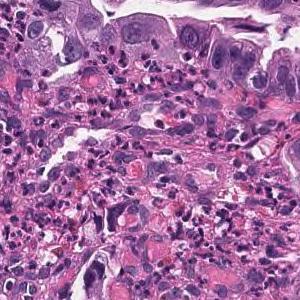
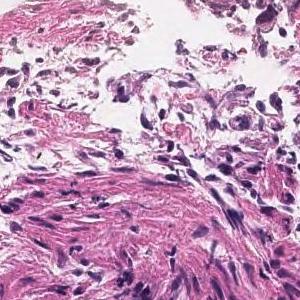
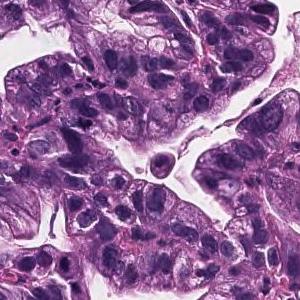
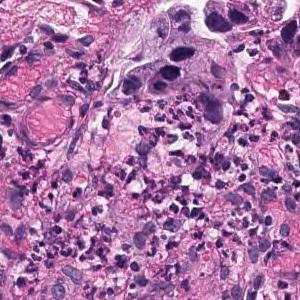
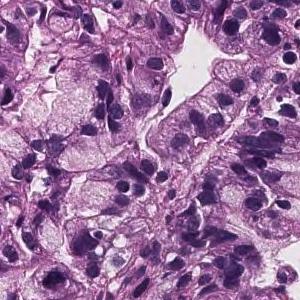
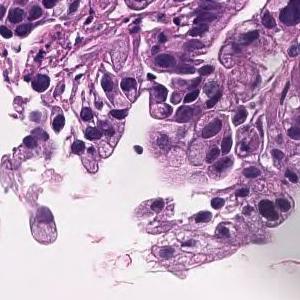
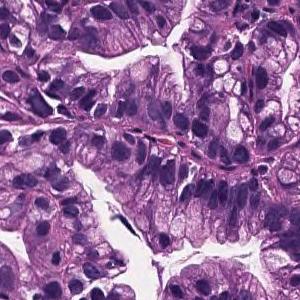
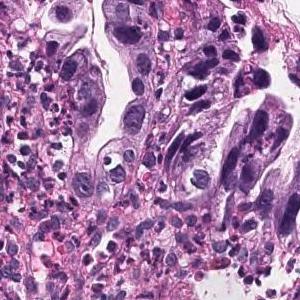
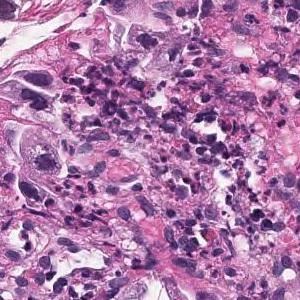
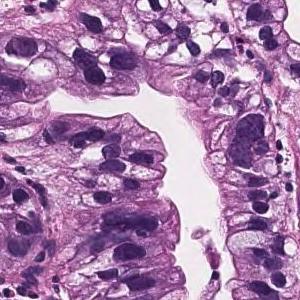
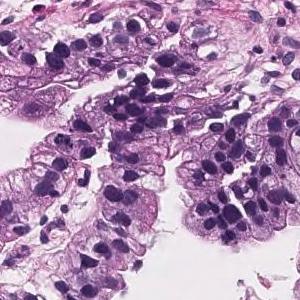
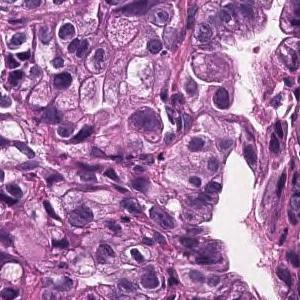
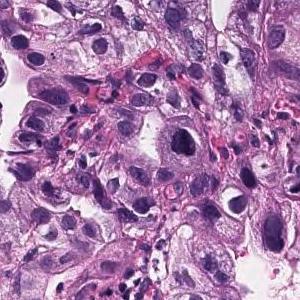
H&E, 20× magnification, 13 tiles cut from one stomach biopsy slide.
Pathology report for the slide these tiles were cut from. The findings and the diagnosis refer to the entire slide; these tiles show only part of it, possibly with non-tumor tissue, and may not show every feature named.
Tumor cells are large, highly columnar, large club-shaped nuclei, and are associated with chromatin aggregation. Papillary adenocarcinoma.
